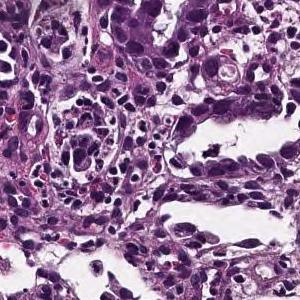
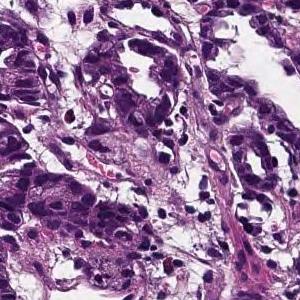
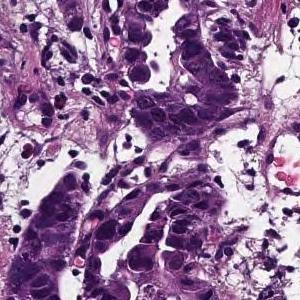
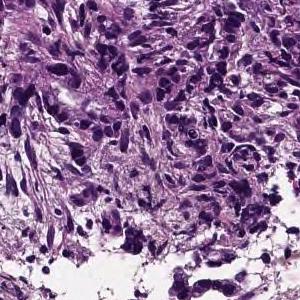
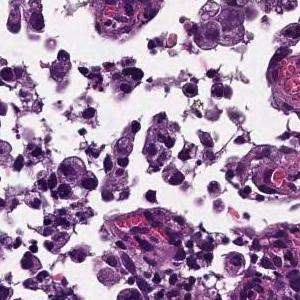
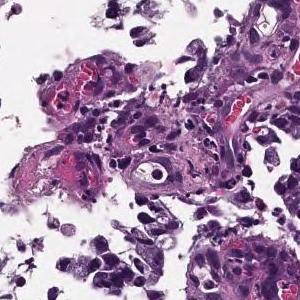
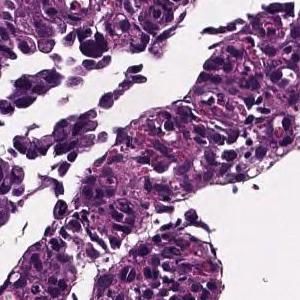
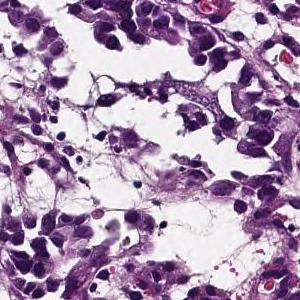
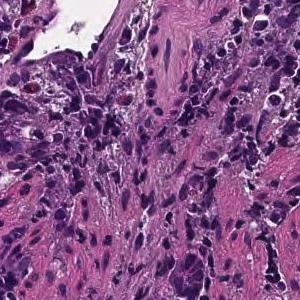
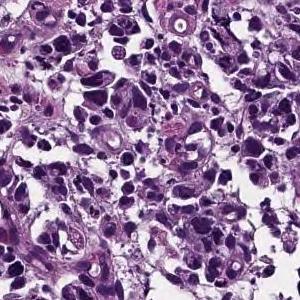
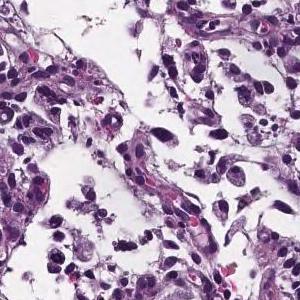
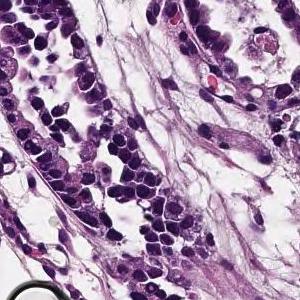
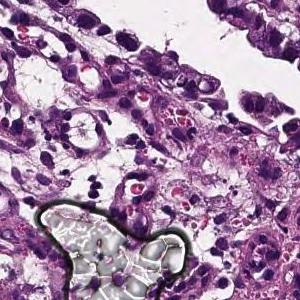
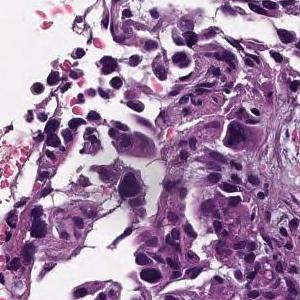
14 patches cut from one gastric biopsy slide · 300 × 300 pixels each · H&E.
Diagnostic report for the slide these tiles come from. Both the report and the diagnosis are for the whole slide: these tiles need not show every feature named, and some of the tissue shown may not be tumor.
Medium to small, irregular glandular ducts are formed in the superficial epithelium, and in some cases, the glandular ducts are fused to show solid alveolar lesions and infiltrating tumor tissue is observed. Moderately to poorly differentiated adenocarcinoma.
